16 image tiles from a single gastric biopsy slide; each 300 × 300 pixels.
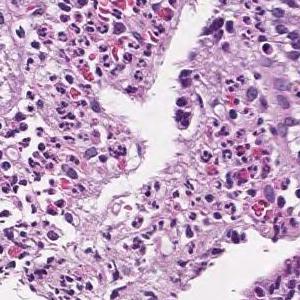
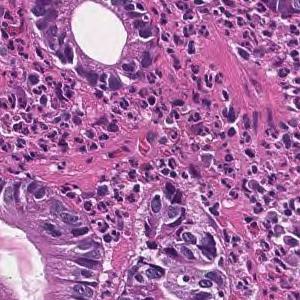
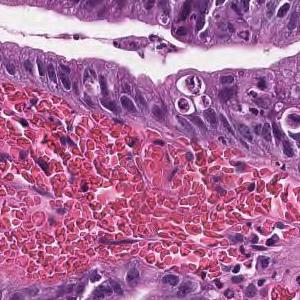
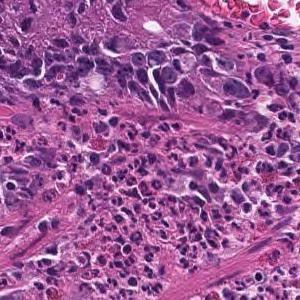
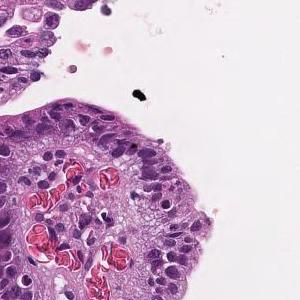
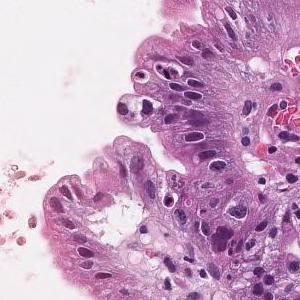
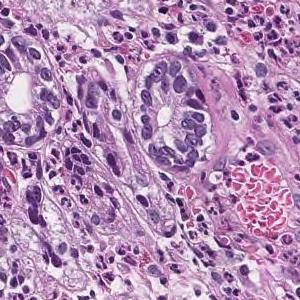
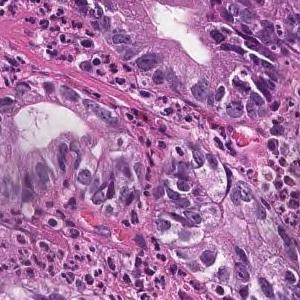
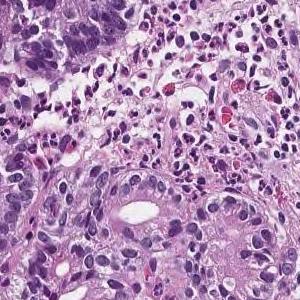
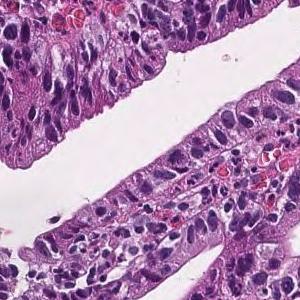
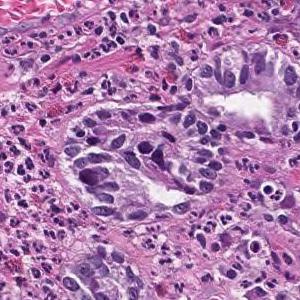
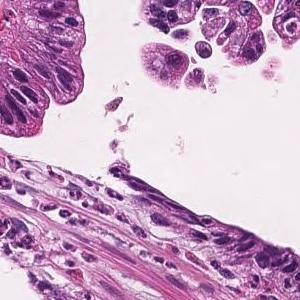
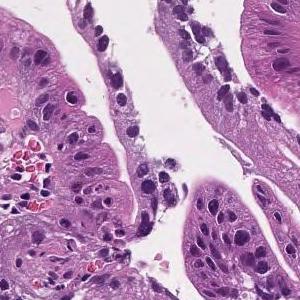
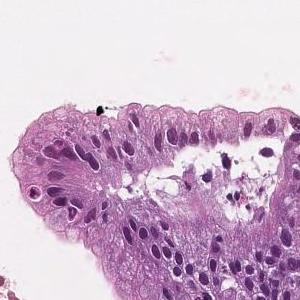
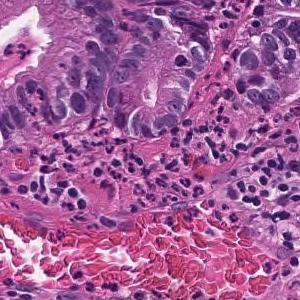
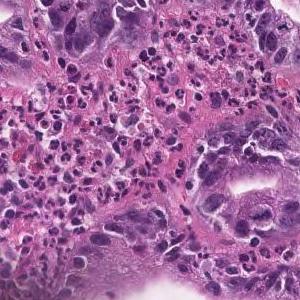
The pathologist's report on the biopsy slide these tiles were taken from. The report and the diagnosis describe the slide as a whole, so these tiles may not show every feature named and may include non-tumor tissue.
Tumor cells are large, highly columnar, large club-shaped nuclei, and are associated with chromatin aggregation. Papillary adenocarcinoma.
